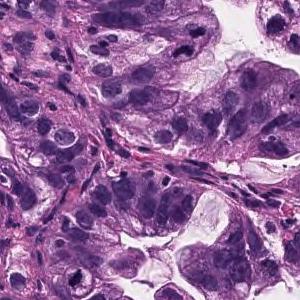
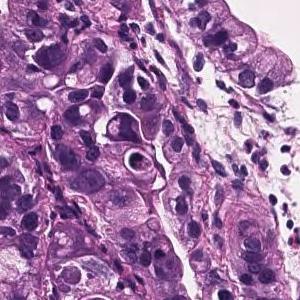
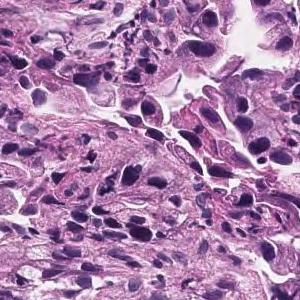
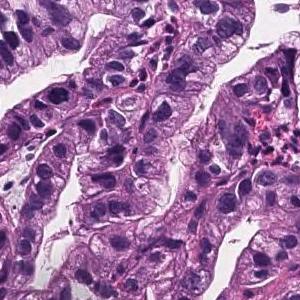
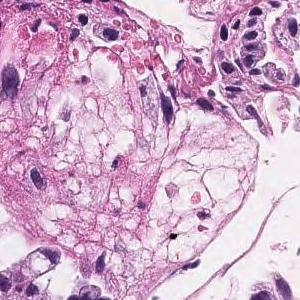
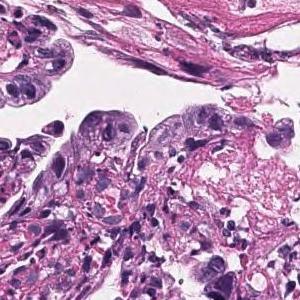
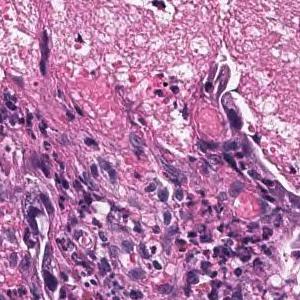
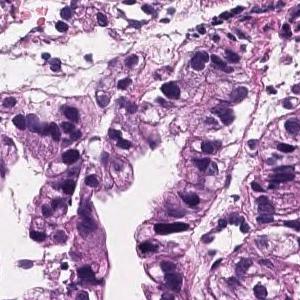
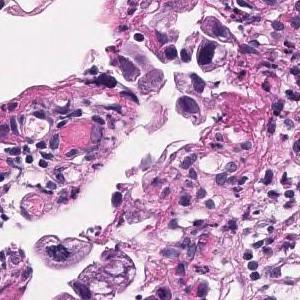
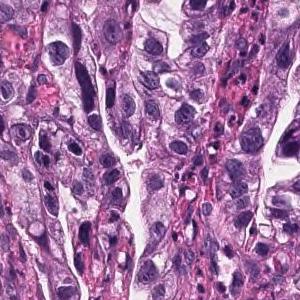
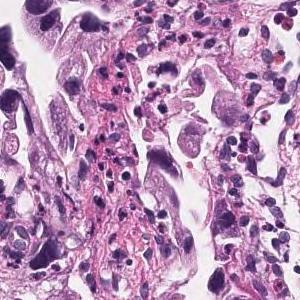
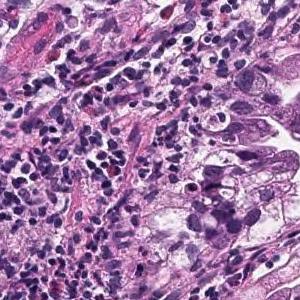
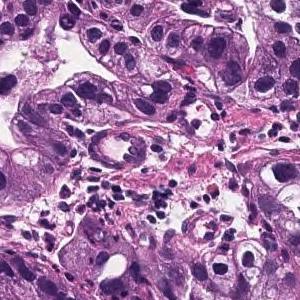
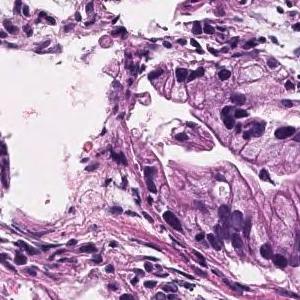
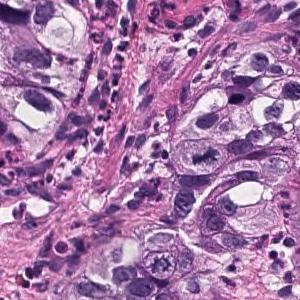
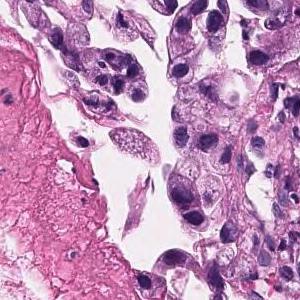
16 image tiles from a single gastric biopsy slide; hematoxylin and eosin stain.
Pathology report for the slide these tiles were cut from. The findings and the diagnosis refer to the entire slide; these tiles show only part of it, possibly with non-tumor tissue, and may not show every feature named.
Tumor cells are large, highly columnar, large club-shaped nuclei, and are associated with chromatin aggregation. Papillary adenocarcinoma.
